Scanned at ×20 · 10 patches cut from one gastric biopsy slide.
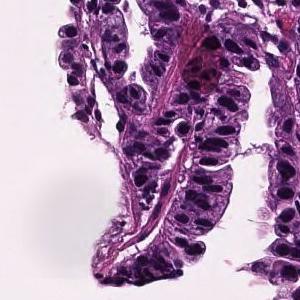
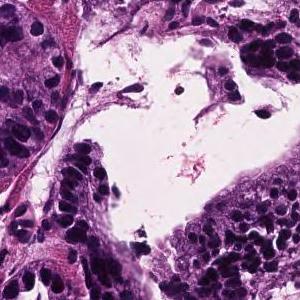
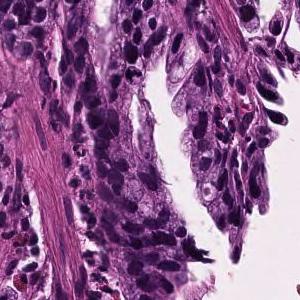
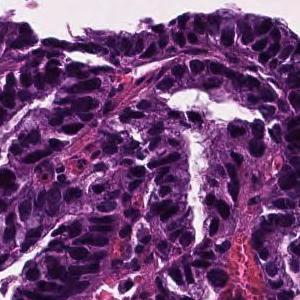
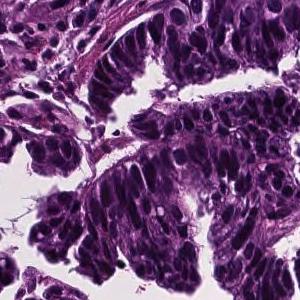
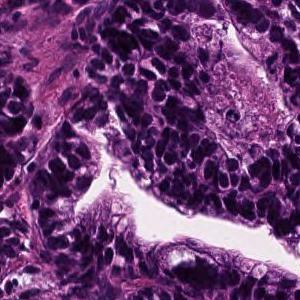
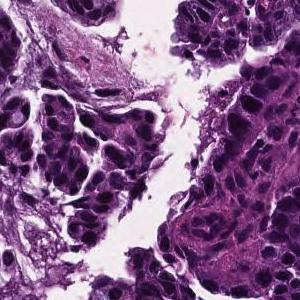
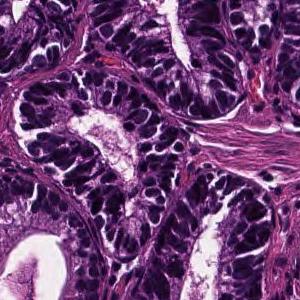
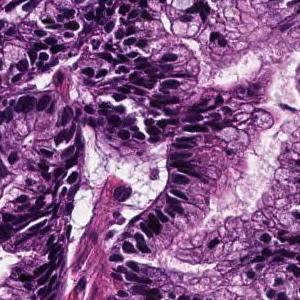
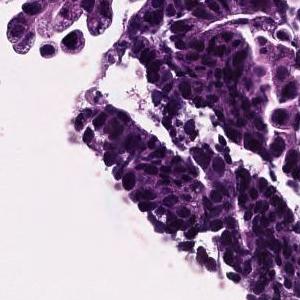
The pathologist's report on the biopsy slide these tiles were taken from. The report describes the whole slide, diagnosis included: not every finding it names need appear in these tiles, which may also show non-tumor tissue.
In the superficial epithelium, tumor tissue that invades by forming medium-sized to small, irregular ducts is observed. Well differentiated tubular adenocarcinoma.
